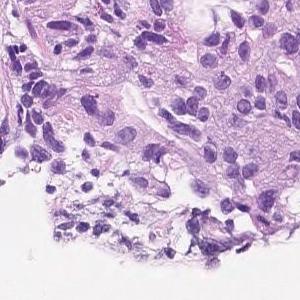
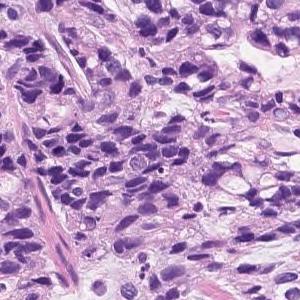
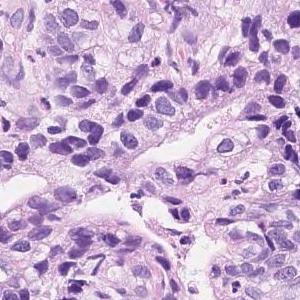
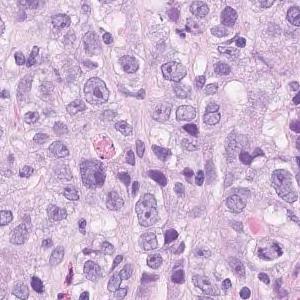
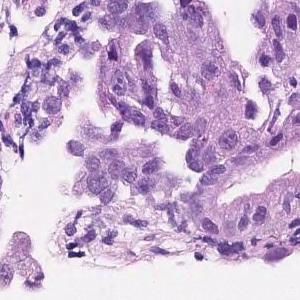
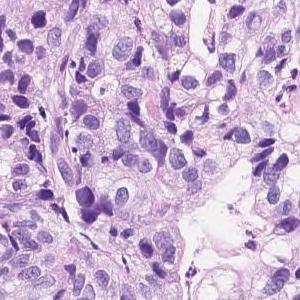
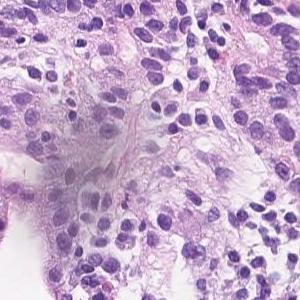
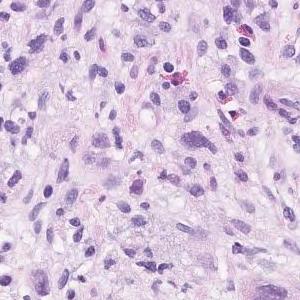
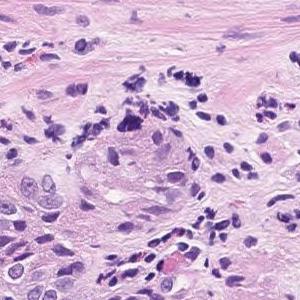
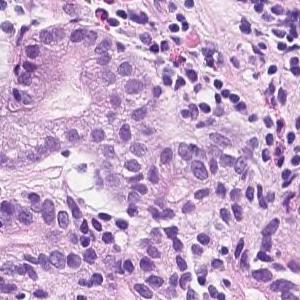
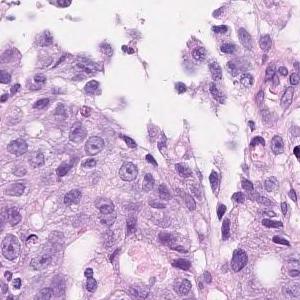
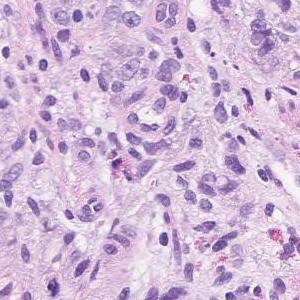
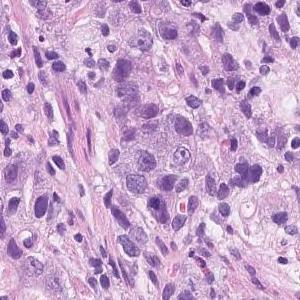
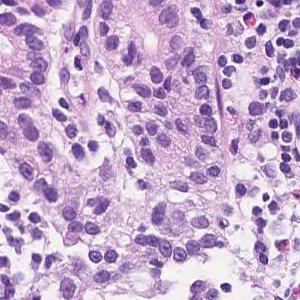
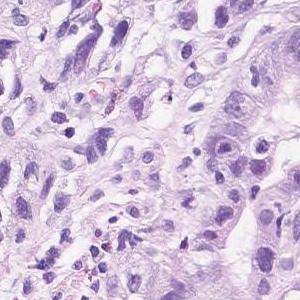
15 tiles cut from one stomach biopsy slide; each 300 × 300 pixels; ×20.
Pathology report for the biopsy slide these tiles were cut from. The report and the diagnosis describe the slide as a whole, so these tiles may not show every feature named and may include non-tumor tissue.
In the superficial epithelium, tumor tissue that invades by forming medium-sized to small, irregular ducts is observed. Moderately to poorly differentiated adenocarcinoma
